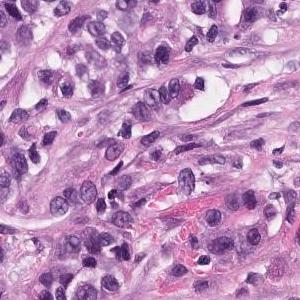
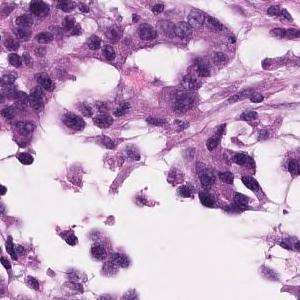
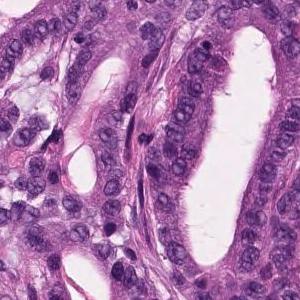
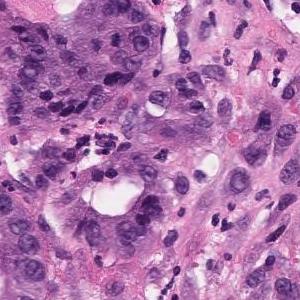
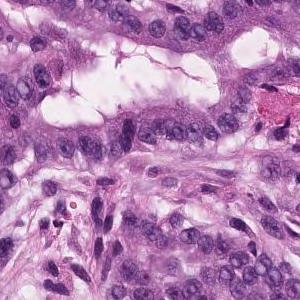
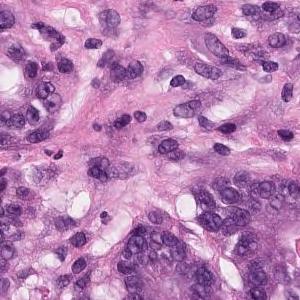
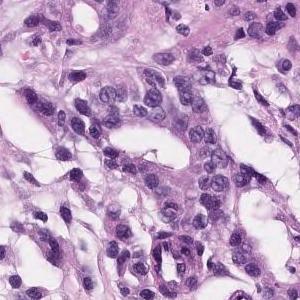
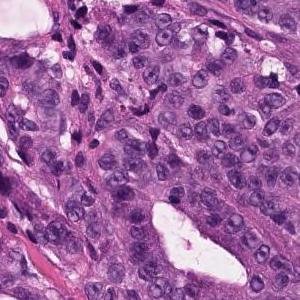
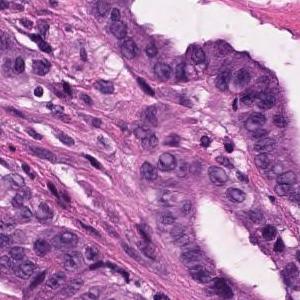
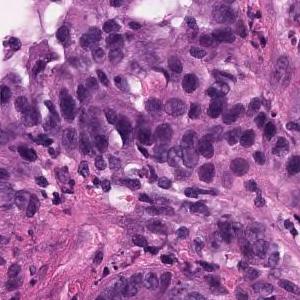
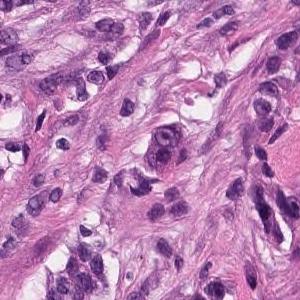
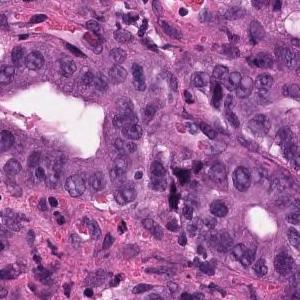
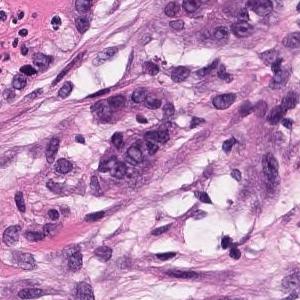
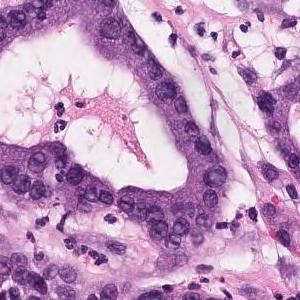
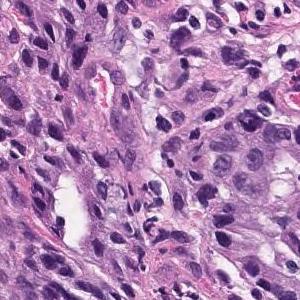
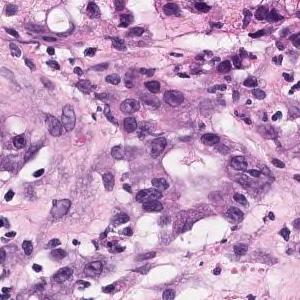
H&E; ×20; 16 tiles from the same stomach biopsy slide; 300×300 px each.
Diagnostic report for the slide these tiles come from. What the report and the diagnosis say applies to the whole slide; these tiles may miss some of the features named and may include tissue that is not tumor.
In the superficial epithelium, tumor tissue that invades by forming medium-sized to small, irregular ducts is observed. Moderately differentiated adenocarcinoma.
Histological subtype: Moderately differentiated tubular adenocarcinoma.
